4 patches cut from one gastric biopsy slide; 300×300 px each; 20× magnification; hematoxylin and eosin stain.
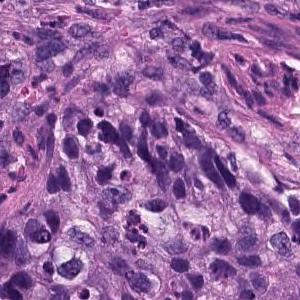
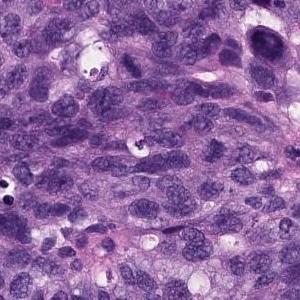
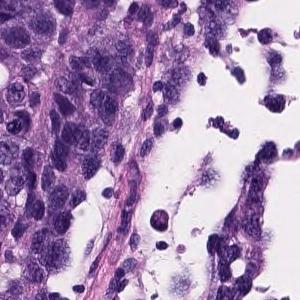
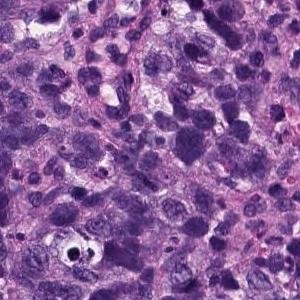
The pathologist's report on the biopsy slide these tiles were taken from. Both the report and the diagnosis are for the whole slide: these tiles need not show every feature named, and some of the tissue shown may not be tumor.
Atypical l cells with atypical nuclei under the mucosa growing in isolation and scattered. Poorly differentiated adenocarcinoma (poorly differentiated adenocarcinoma, non-solid type)
Subtype: Poorly differentiated adenocarcinoma, non-solid type.
The term "non-solid type" comes from the Japanese Classification of Gastric Carcinoma.
